H&E stain · ×20 · 13 image tiles from a single gastric biopsy slide · 300×300 px each.
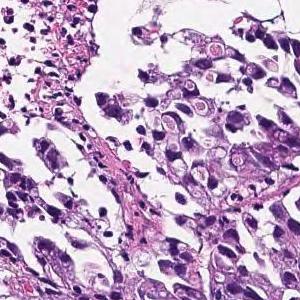
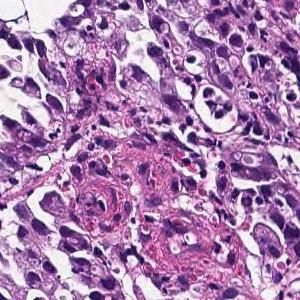
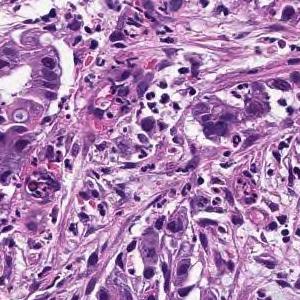
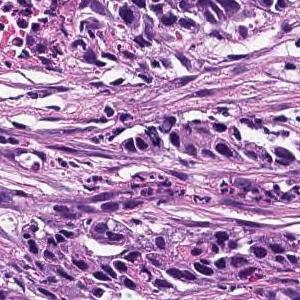
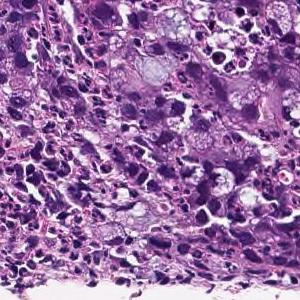
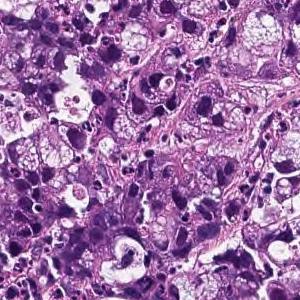
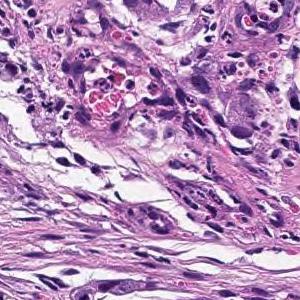
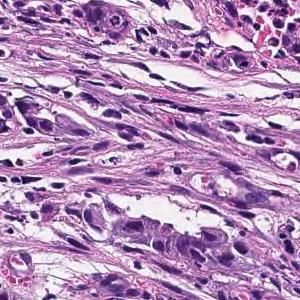
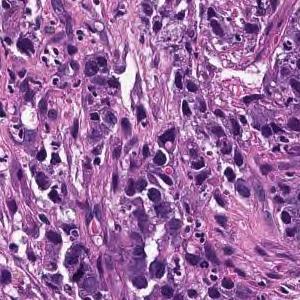
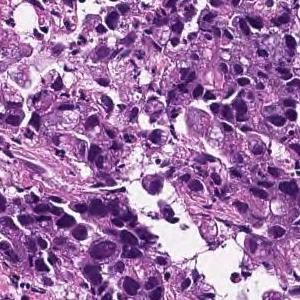
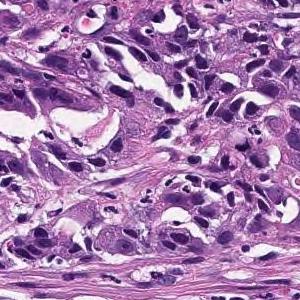
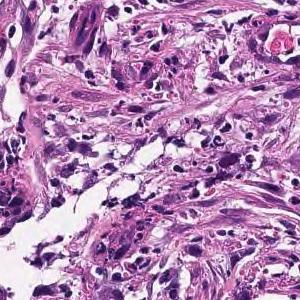
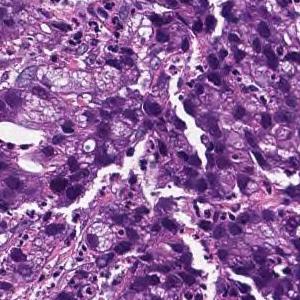
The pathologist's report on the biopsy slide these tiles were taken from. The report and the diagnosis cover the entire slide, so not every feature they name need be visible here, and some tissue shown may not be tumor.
Medium to small, irregular glandular ducts are formed in the superficial epithelium, and in some cases, the glandular ducts are fused to show solid alveolar lesions and infiltrating tumor tissue is observed. Moderately to poorly differentiated adenocarcinoma.
